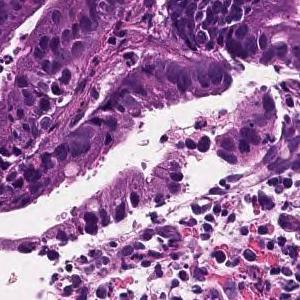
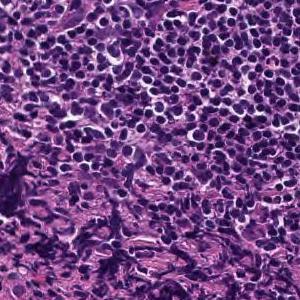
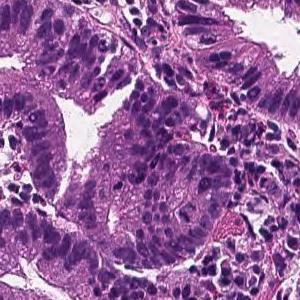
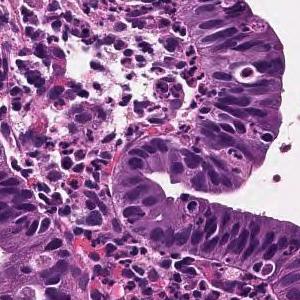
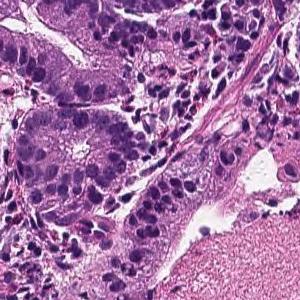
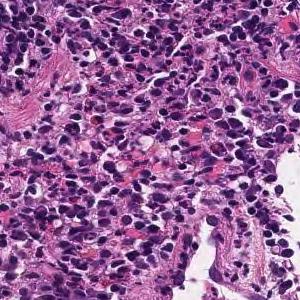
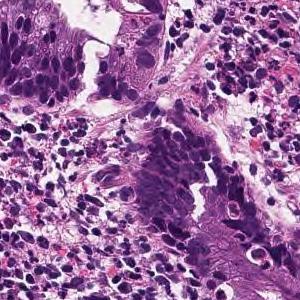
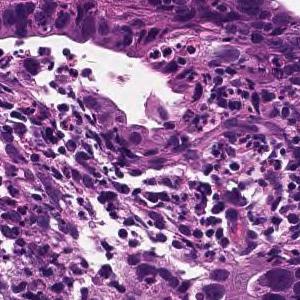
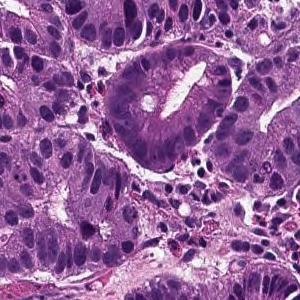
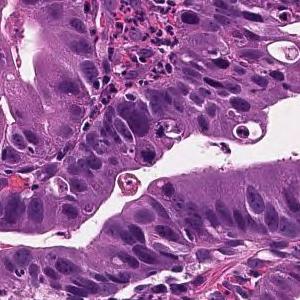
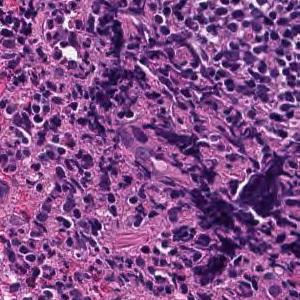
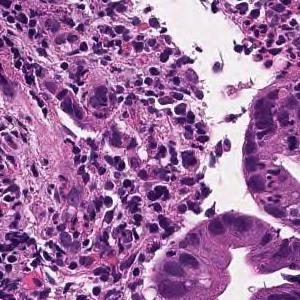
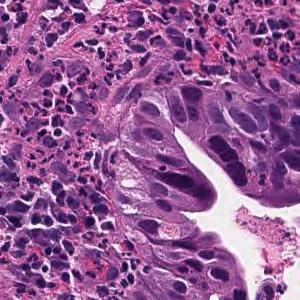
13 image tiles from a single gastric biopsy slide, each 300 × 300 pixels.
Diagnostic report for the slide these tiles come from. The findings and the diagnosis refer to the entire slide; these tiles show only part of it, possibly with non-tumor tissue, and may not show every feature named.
From the superficial epithelium to the muscularis mucosae, tumor tissue consisting of medium-sized and irregular glandular ducts infiltrating is observed. Well differentiated tubular adenocarcinoma
